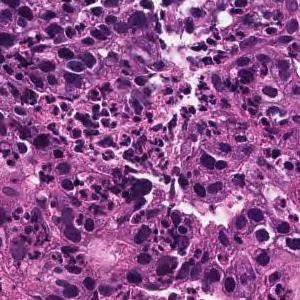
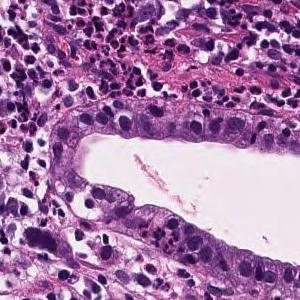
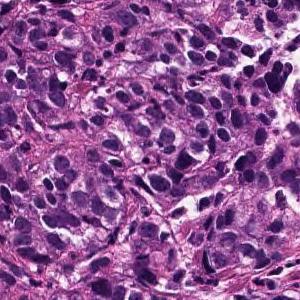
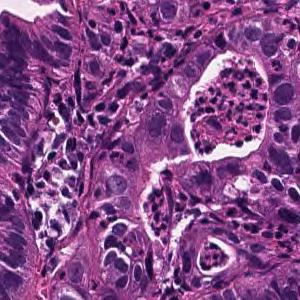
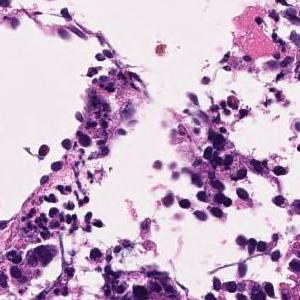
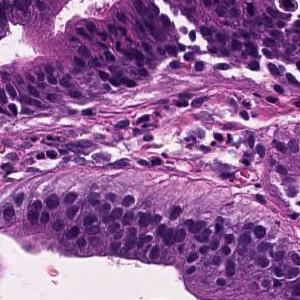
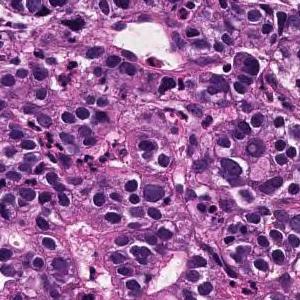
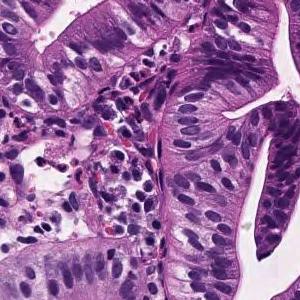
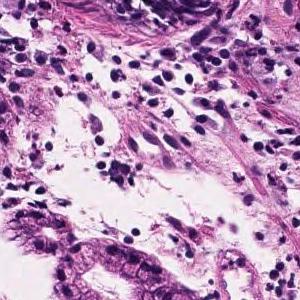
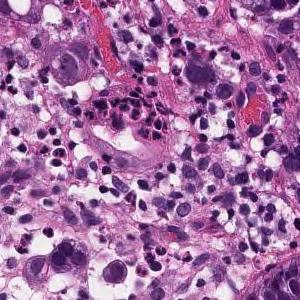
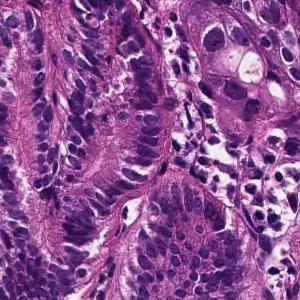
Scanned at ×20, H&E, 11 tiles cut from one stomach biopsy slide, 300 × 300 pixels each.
Pathology report for the biopsy slide these tiles were cut from. The report and the diagnosis cover the entire slide, so not every feature they name need be visible here, and some tissue shown may not be tumor.
In the superficial epithelium, tumor tissue that invades by forming medium-sized to small, irregular ducts is observed. moderately differentiated tubular adenocarcinoma.
